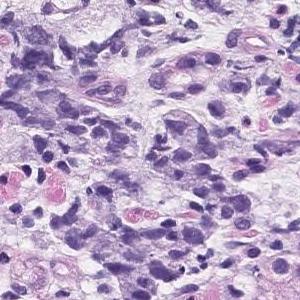
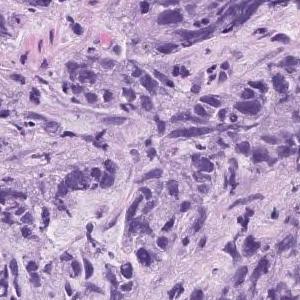
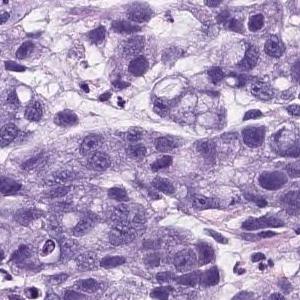
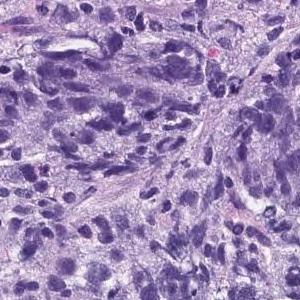
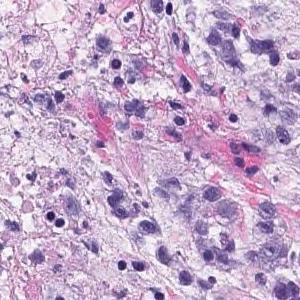
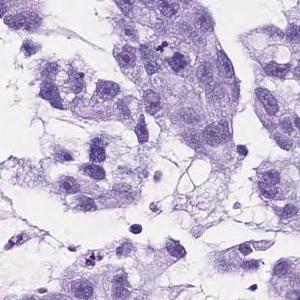
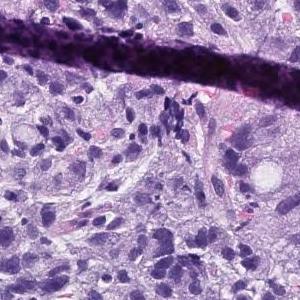
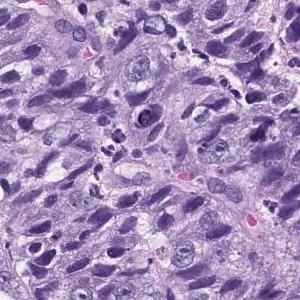
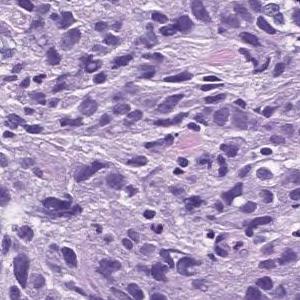
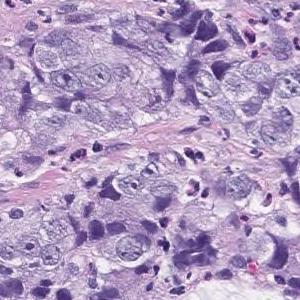
×20, H&E, 10 tiles from the same stomach biopsy slide.
Pathology report for the slide these tiles were cut from. What the report and the diagnosis say applies to the whole slide; these tiles may miss some of the features named and may include tissue that is not tumor.
Atypical l cells with atypical nuclei forming solid vesicles or small irregular atypical ducts that proliferate in a complex manner. poorly differentiated adenocarcinoma, solid type, moderately differentiated tubular adenocarcinoma
"Solid type" is a category of the Japanese Classification of Gastric Carcinoma; in the WHO 2019 classification it is tubular adenocarcinoma, poorly differentiated.
